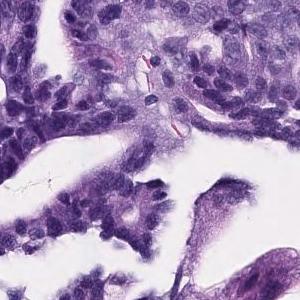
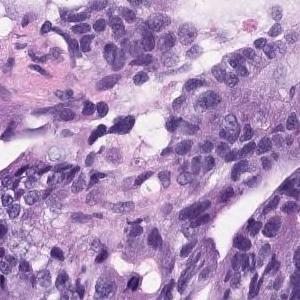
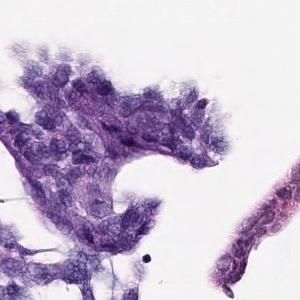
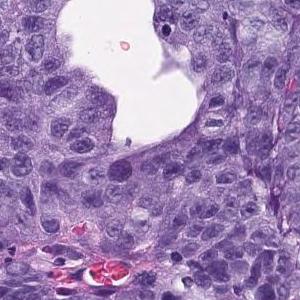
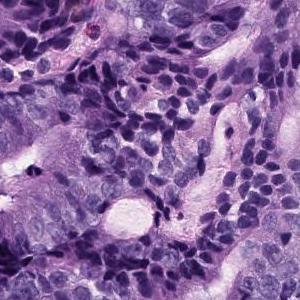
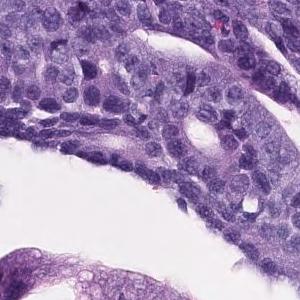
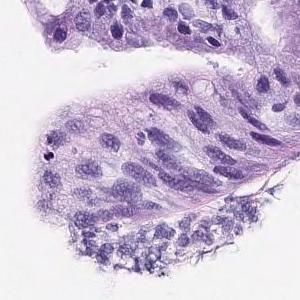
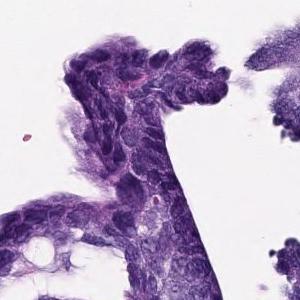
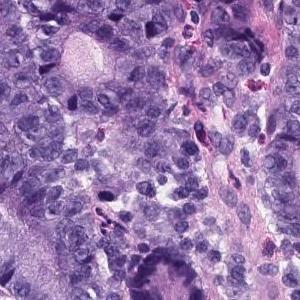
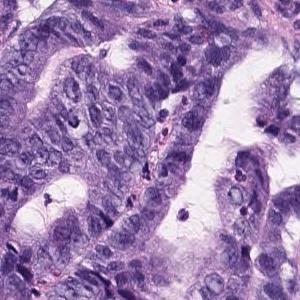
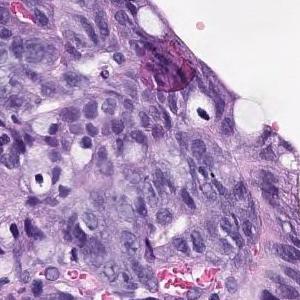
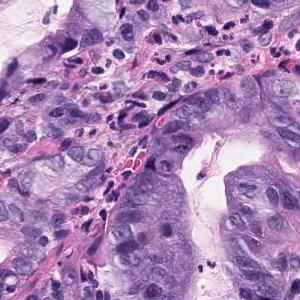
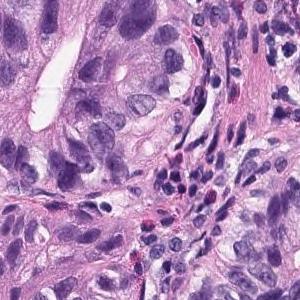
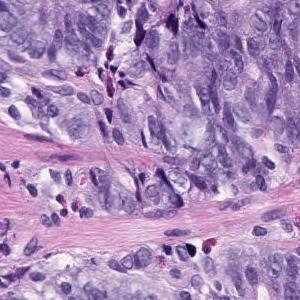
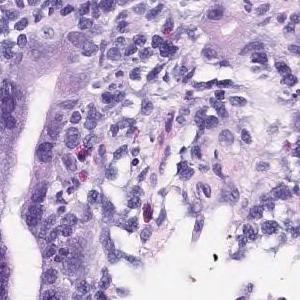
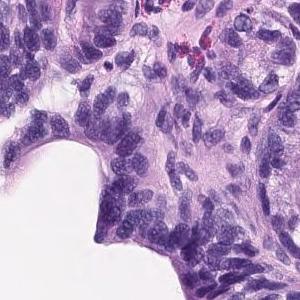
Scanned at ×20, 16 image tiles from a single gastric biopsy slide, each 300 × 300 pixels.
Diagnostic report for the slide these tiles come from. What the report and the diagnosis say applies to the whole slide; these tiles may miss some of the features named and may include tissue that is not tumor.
In the superficial epithelium, tumor tissue that invades by forming medium-sized to small, irregular ducts is observed. Well to moderately differentiated tubular adenocarcinoma.
